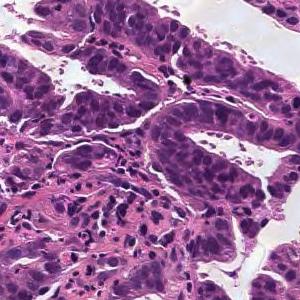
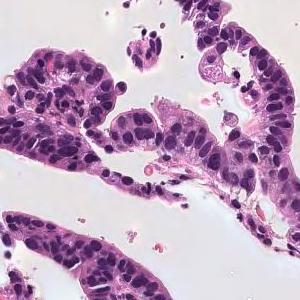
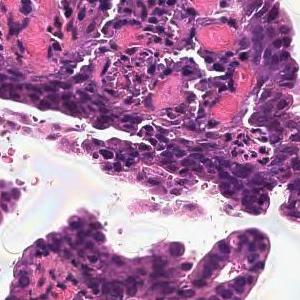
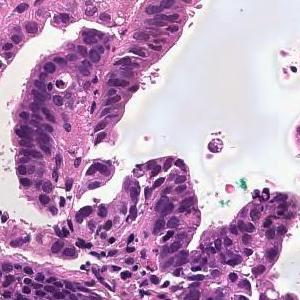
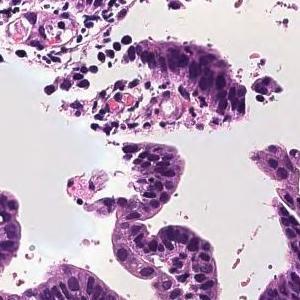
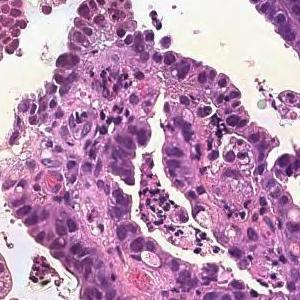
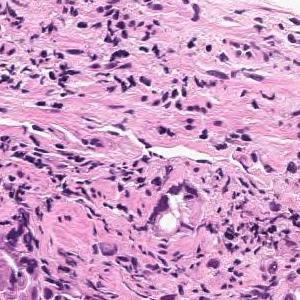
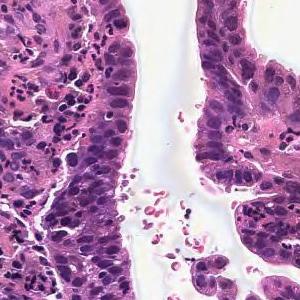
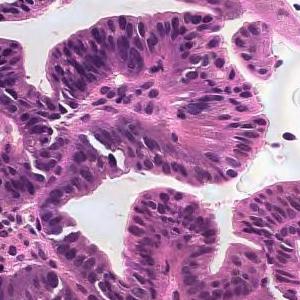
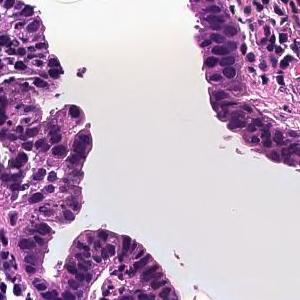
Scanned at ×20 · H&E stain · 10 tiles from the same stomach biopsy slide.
Pathology report for the slide these tiles were cut from. Both the report and the diagnosis are for the whole slide: these tiles need not show every feature named, and some of the tissue shown may not be tumor.
From the superficial epithelium to the muscularis mucosae, tumor tissue consisting of medium-sized and irregular glandular ducts infiltrating is observed. Well differentiated tubular adenocarcinoma
